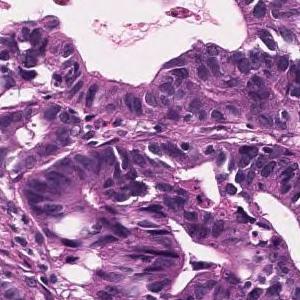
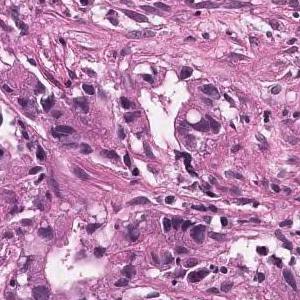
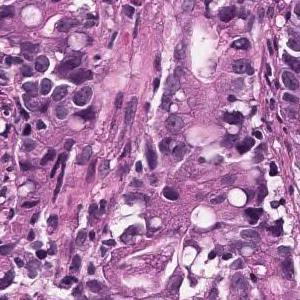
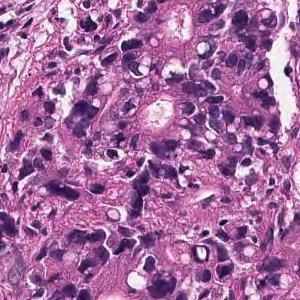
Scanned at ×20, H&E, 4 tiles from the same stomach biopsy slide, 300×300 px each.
Pathology report for the biopsy slide these tiles were cut from. What the report and the diagnosis say applies to the whole slide; these tiles may miss some of the features named and may include tissue that is not tumor.
In the superficial epithelium, tumor tissue is found in which medium-sized irregular gland ducts fuse with each other and infiltrate. moderately differentiated tubular adenocarcinoma
